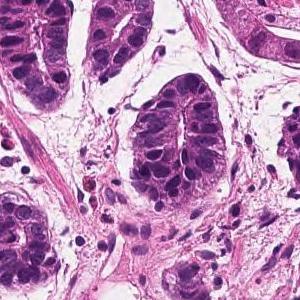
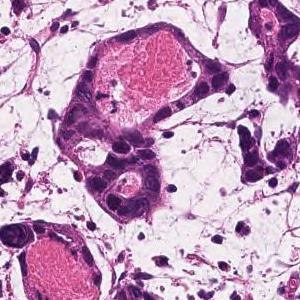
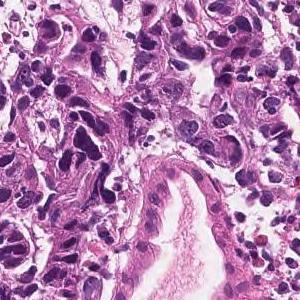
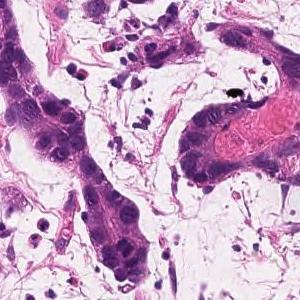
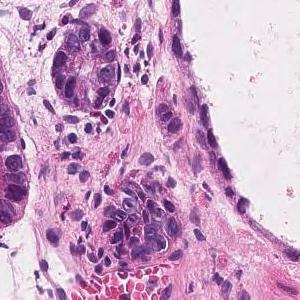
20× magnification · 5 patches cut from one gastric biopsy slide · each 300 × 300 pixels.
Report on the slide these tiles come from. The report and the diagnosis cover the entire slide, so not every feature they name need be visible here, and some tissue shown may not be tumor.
In the superficial epithelium, tumor tissue that invades by forming medium-sized to small, irregular ducts is observed. Well differentiated tubular adenocarcinoma.
